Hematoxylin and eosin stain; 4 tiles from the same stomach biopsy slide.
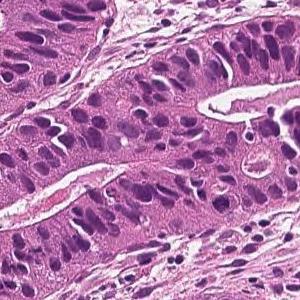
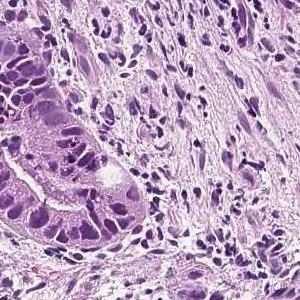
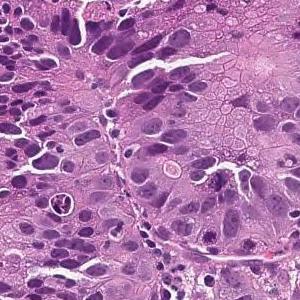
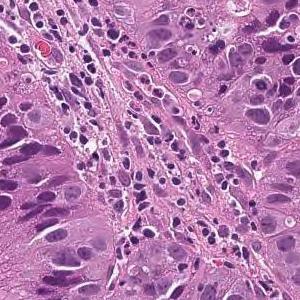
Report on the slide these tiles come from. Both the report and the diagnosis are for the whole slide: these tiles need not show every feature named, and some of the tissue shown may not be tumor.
In the superficial epithelium, tumor tissue that invades by forming medium-sized to small, irregular ducts is observed. moderately differentiated tubular adenocarcinoma.
